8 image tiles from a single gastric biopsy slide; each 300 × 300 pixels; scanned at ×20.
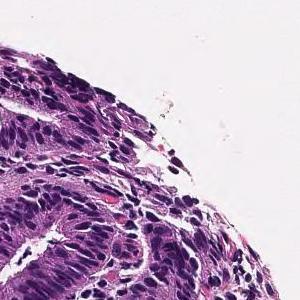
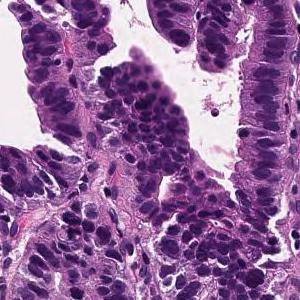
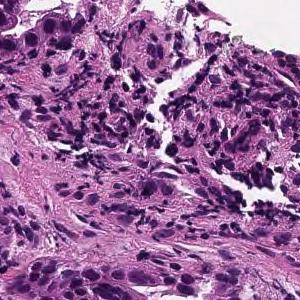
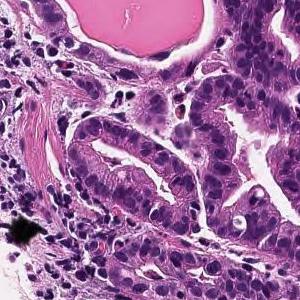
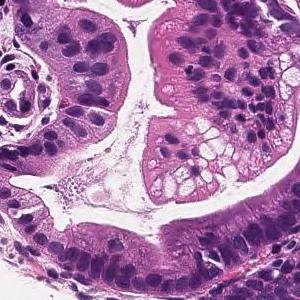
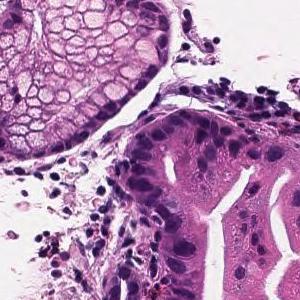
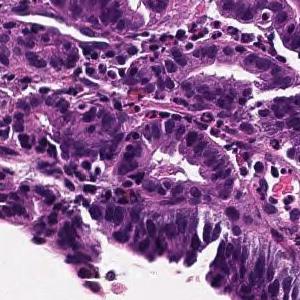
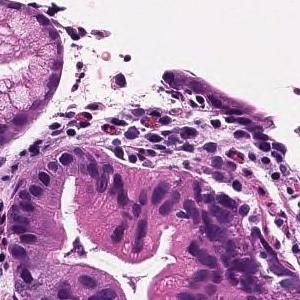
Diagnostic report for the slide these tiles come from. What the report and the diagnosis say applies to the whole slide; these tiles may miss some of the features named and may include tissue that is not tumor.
From the superficial epithelium to the muscularis mucosae, tumor tissue that invades by forming medium-sized to small irregular gland ducts is observed. Well differentiated tubular adenocarcinoma (well differentiated tubular adenocarcinoma)
Histological subtype: Well differentiated tubular adenocarcinoma.
